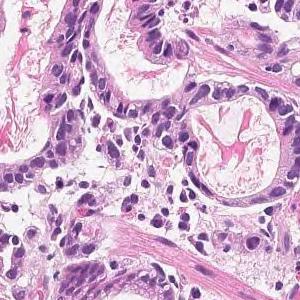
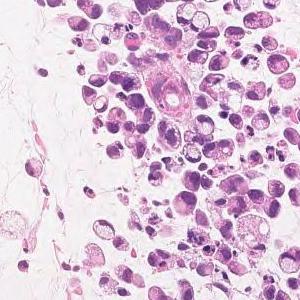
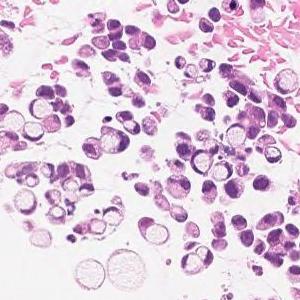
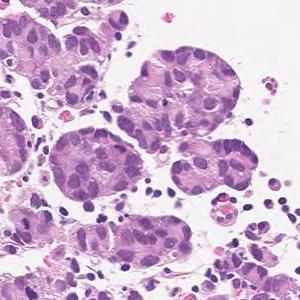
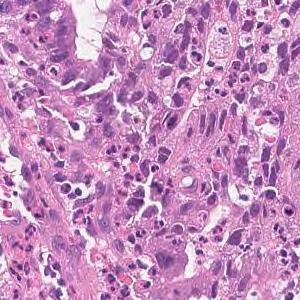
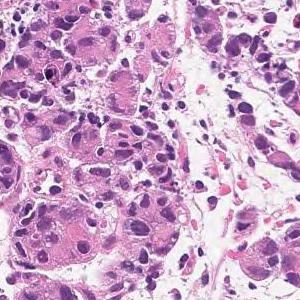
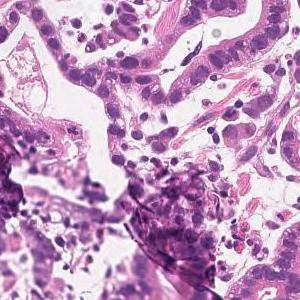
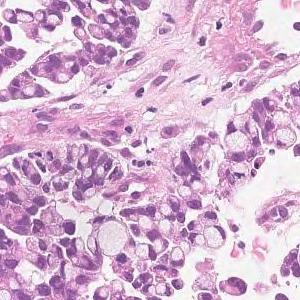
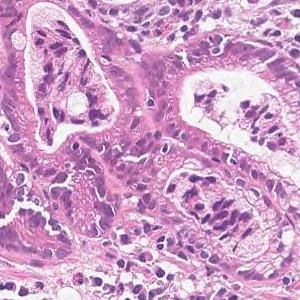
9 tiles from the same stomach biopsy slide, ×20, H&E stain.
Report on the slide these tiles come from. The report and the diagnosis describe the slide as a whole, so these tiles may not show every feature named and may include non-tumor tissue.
Medium to small, irregular glandular ducts are formed in the superficial epithelium, and in some cases, the glandular ducts are fused to show solid alveolar lesions and infiltrating tumor tissue is observed. Moderately to poorly differentiated adenocarcinoma.
